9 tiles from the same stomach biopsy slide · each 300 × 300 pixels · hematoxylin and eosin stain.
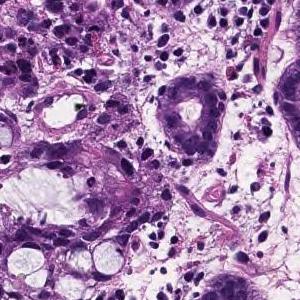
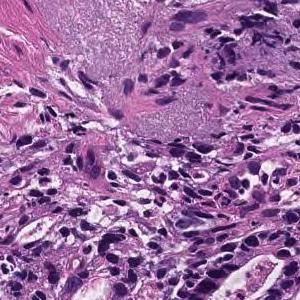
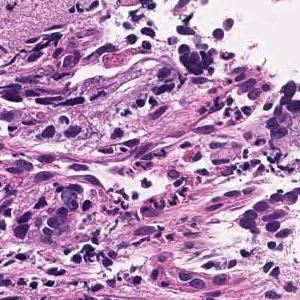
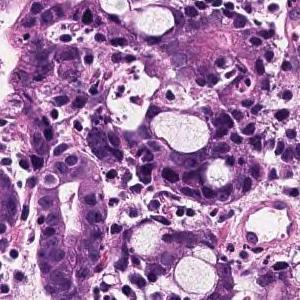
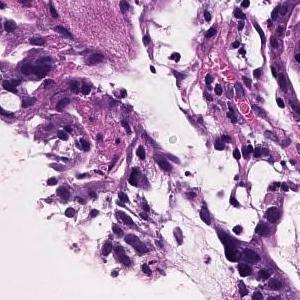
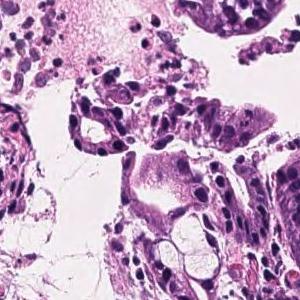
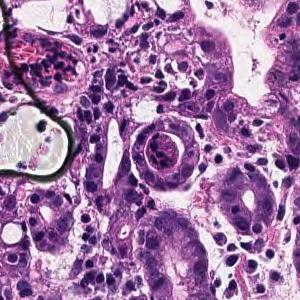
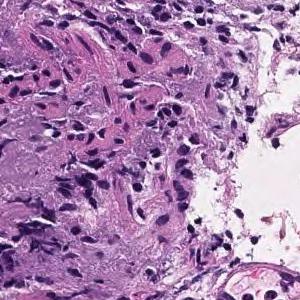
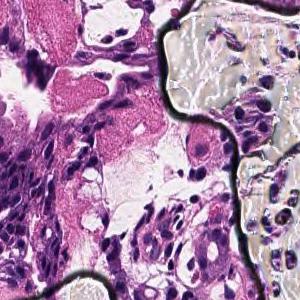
The pathologist's report on the biopsy slide these tiles were taken from. Both the report and the diagnosis are for the whole slide: these tiles need not show every feature named, and some of the tissue shown may not be tumor.
In the superficial epithelium, tumor tissue is found in which medium-sized to small, irregular glandular ducts are partially fused and infiltrated. moderately differentiated tubular adenocarcinoma
